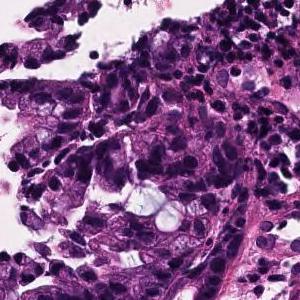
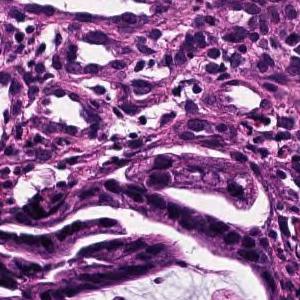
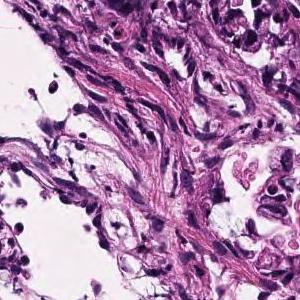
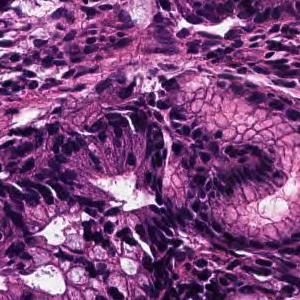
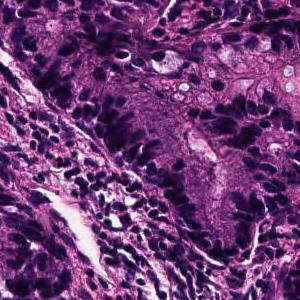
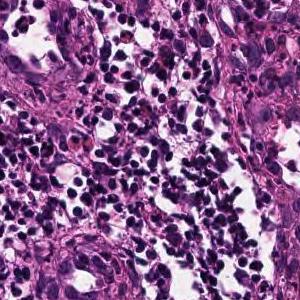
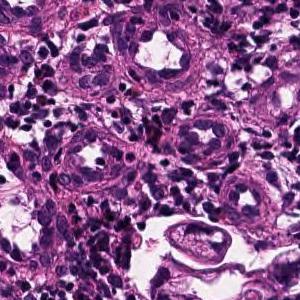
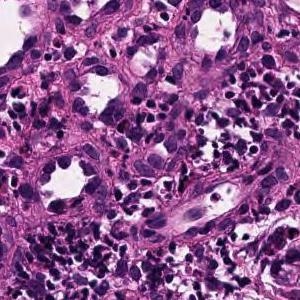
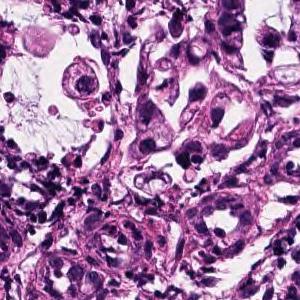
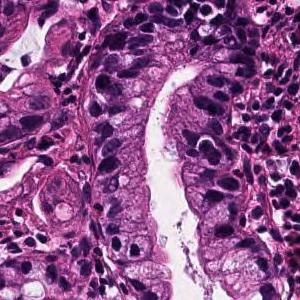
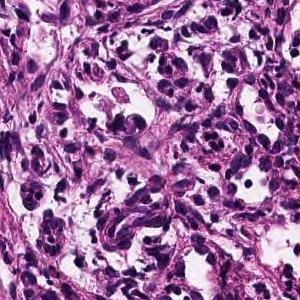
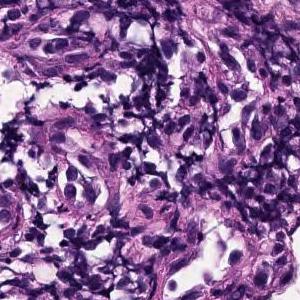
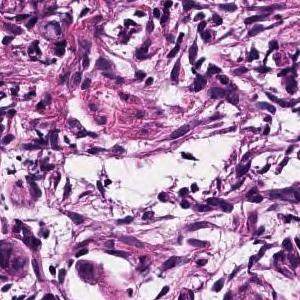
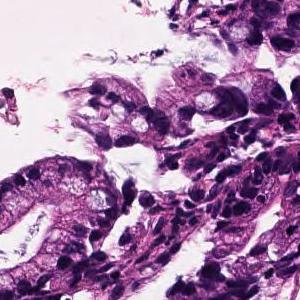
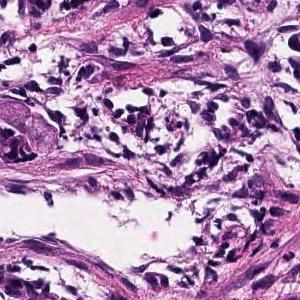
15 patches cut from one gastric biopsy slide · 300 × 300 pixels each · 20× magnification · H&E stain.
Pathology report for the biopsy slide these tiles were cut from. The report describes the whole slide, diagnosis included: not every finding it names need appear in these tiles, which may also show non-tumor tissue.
On the superficial epithelium, tumor tissue consisting of large, irregular glandular ducts partially fused and infiltrated is observed. Well to moderately differentiated tubular adenocarcinoma (well differentiated tubular adenocarcinoma, moderately differentiated tubular adenocarcinoma)
Histological subtype: Well to moderately differentiated tubular adenocarcinoma.
